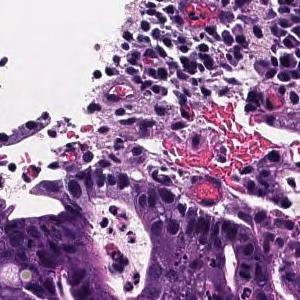
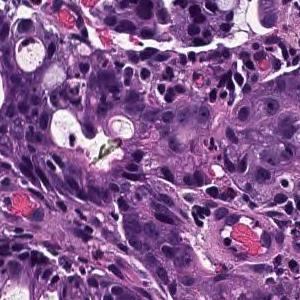
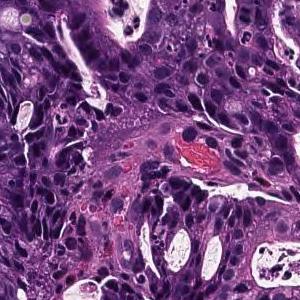
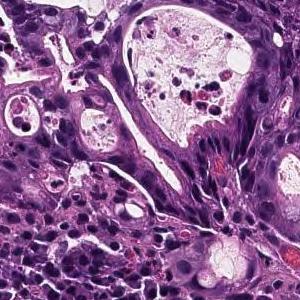
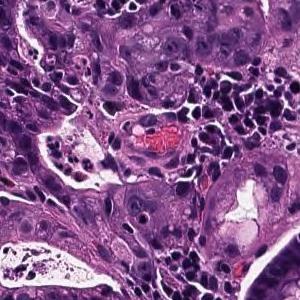
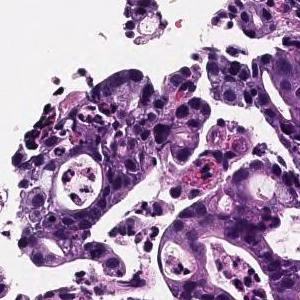
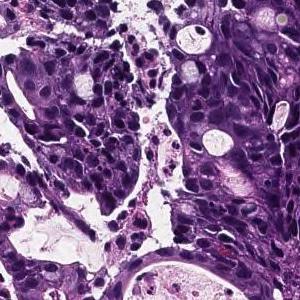
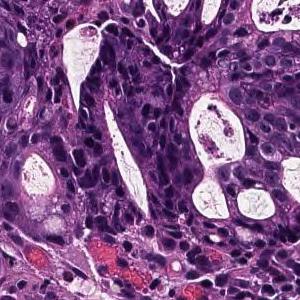
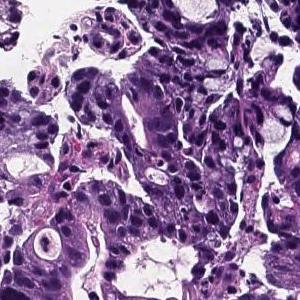
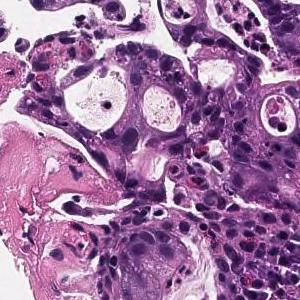
Scanned at ×20, 10 patches cut from one gastric biopsy slide.
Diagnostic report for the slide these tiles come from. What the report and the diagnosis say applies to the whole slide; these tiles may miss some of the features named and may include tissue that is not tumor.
On the superficial epithelium, tumor tissue is found in which medium-sized irregular gland ducts fuse with each other and infiltrate. moderately differentiated tubular adenocarcinoma
